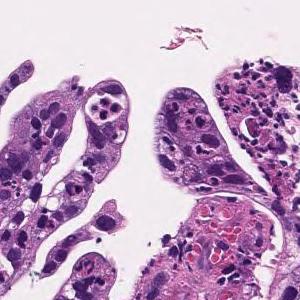
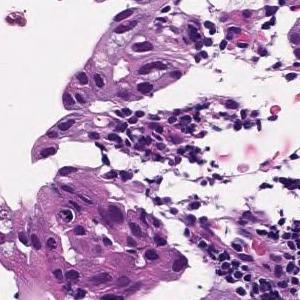
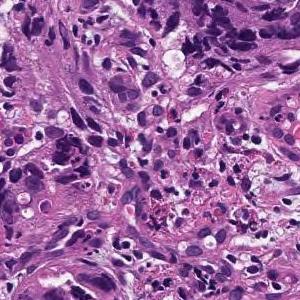
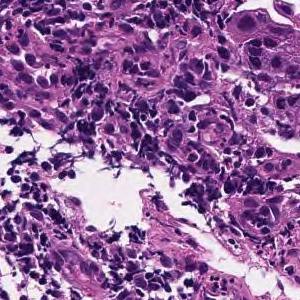
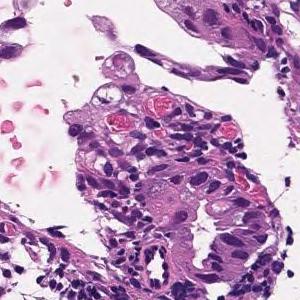
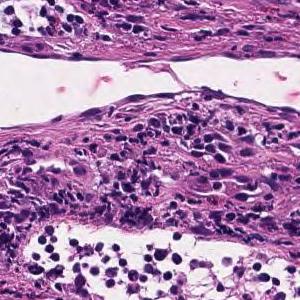
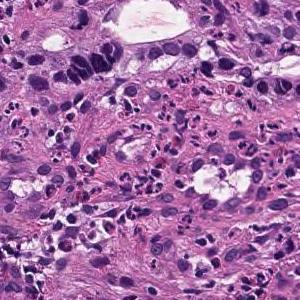
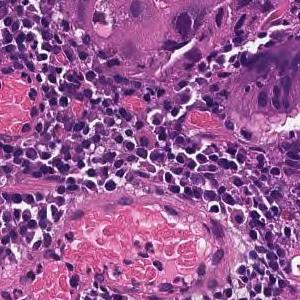
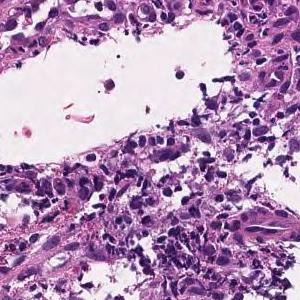
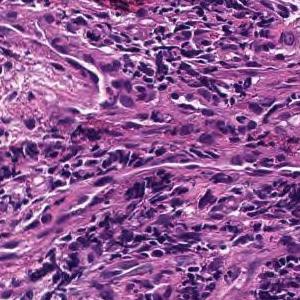
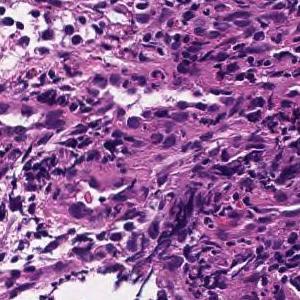
H&E, scanned at ×20, 11 patches cut from one gastric biopsy slide, 300×300 px each.
Pathology report for the biopsy slide these tiles were cut from. The report and the diagnosis describe the slide as a whole, so these tiles may not show every feature named and may include non-tumor tissue.
In the superficial epithelium, tumor tissue that invades by forming medium-sized to small, irregular ducts is observed. moderately differentiated tubular adenocarcinoma.
